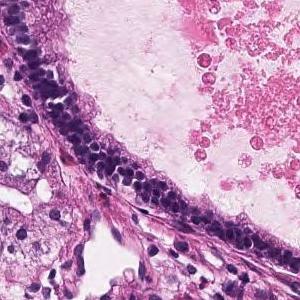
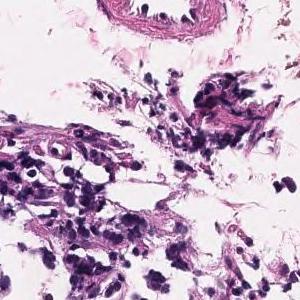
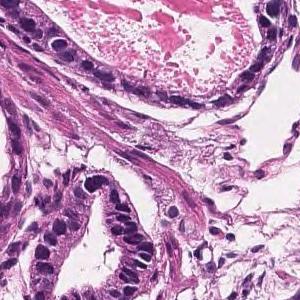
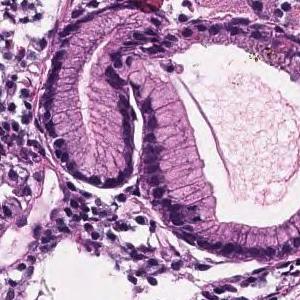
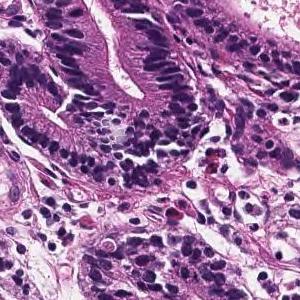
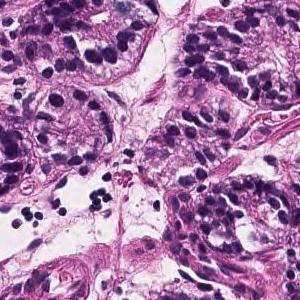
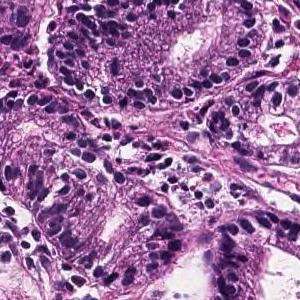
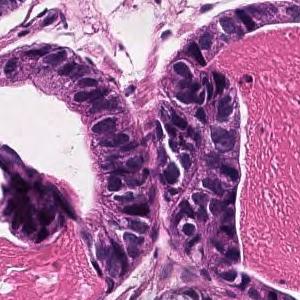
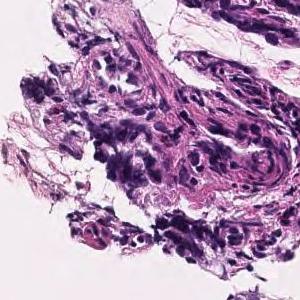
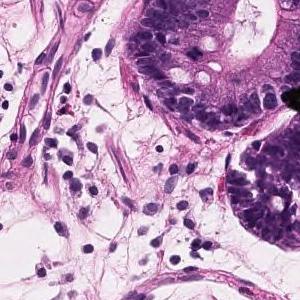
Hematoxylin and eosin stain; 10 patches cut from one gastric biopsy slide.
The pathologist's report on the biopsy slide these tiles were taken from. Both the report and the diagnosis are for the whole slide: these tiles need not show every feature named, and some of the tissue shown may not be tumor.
Tumor tissue consisting of medium-sized and irregular ducts is observed infiltrating in the superficial epithelium. Tumor cells are highly columnar, with nuclei aligned basolaterally and polarized. Well differentiated tubular adenocarcinoma.
